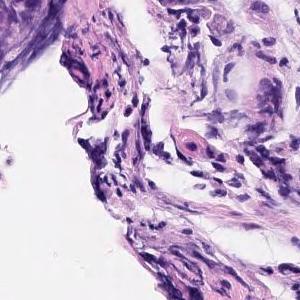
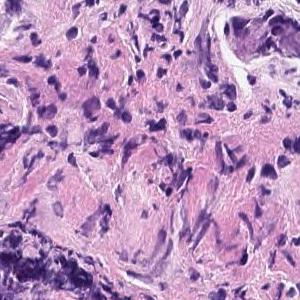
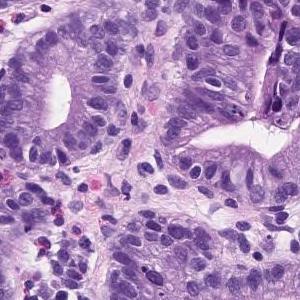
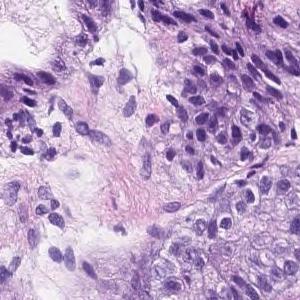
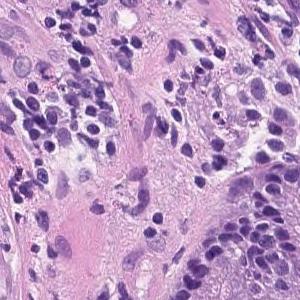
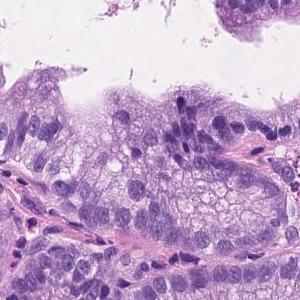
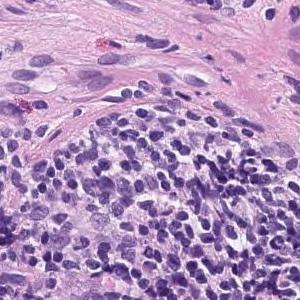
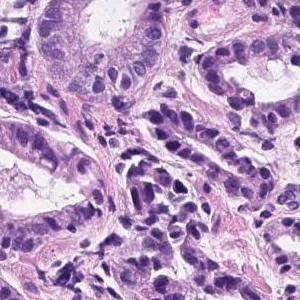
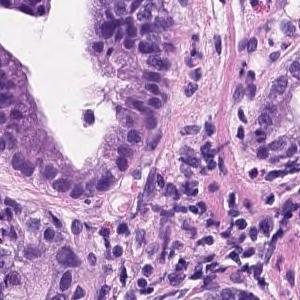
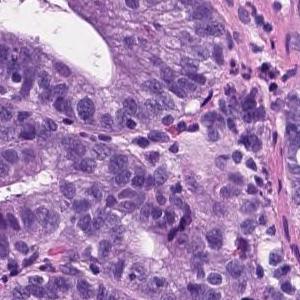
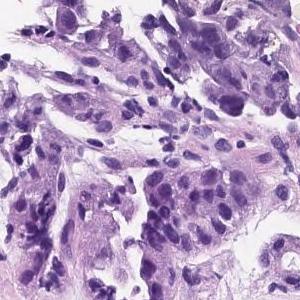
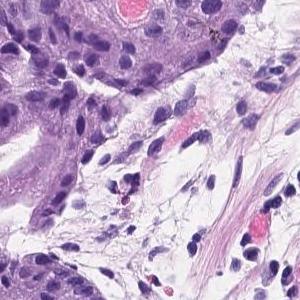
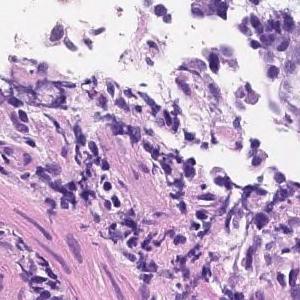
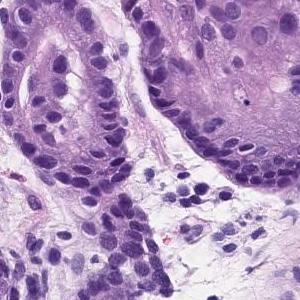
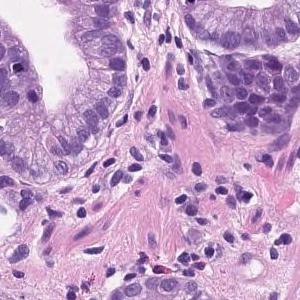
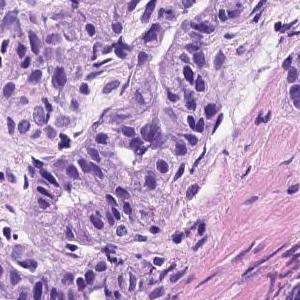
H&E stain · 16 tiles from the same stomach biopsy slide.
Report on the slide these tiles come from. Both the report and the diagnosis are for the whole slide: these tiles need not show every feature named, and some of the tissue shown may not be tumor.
Tumor tissue consisting of medium-sized and irregular ducts is observed infiltrating in the superficial epithelium. Tumor cells are highly columnar, with nuclei aligned basolaterally and polarized. Well differentiated tubular adenocarcinoma.
